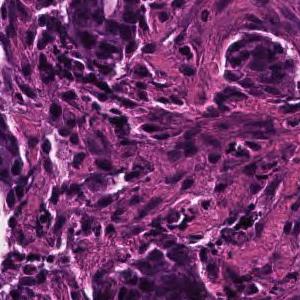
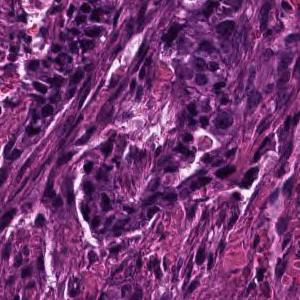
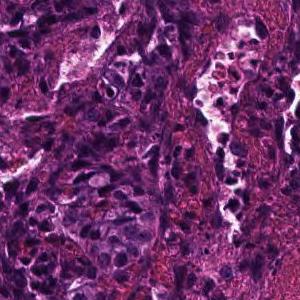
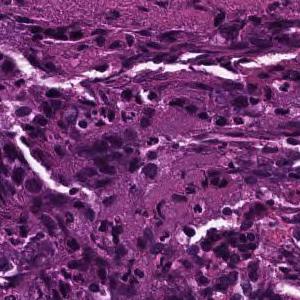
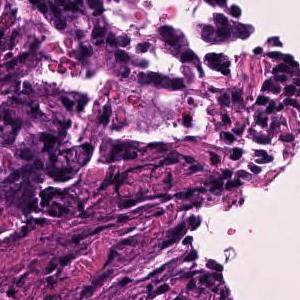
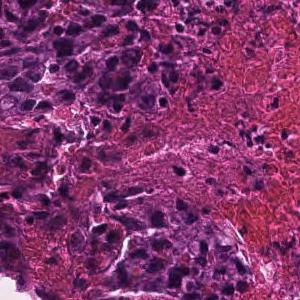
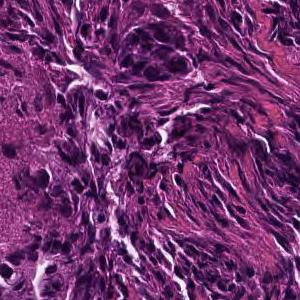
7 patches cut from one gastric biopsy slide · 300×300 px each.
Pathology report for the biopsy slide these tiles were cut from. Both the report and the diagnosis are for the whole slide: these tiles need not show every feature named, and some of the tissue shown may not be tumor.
Tumor tissue consisting of medium-sized, cord-like or irregular glandular infiltration is observed in the superficial epithelium. Poorly differentiated adenocarcinoma, non-solid type or moderately differentiated tubular adenocarcinoma
Subtype: Moderately to poorly differentiated adenocarcinoma.
The term "non-solid type" comes from the Japanese Classification of Gastric Carcinoma.
